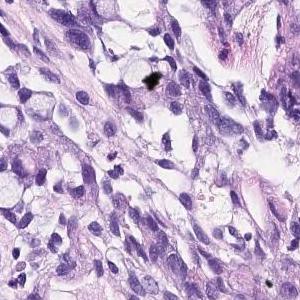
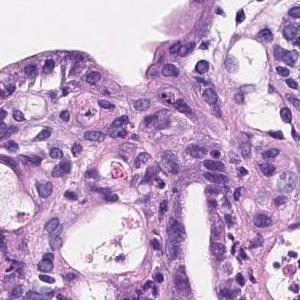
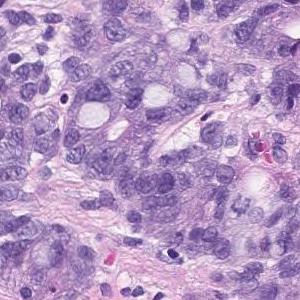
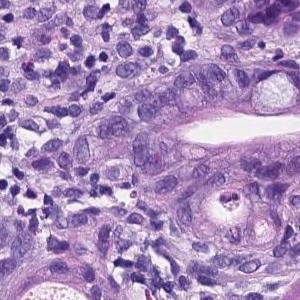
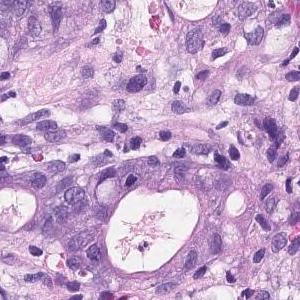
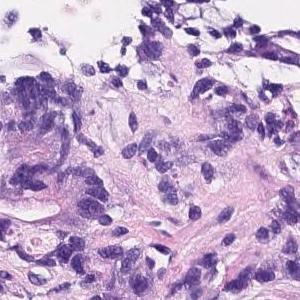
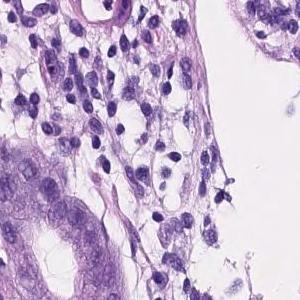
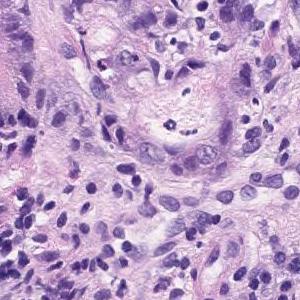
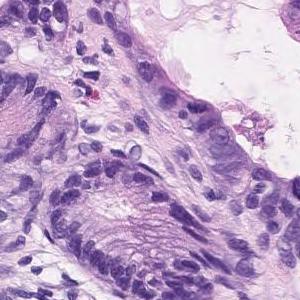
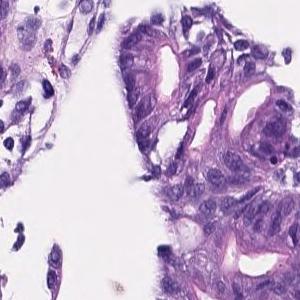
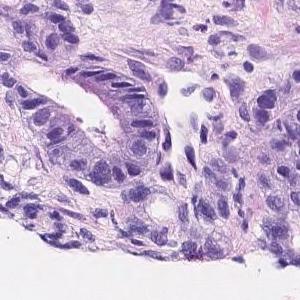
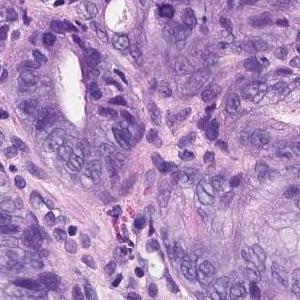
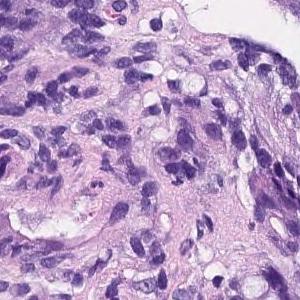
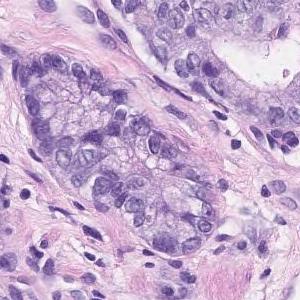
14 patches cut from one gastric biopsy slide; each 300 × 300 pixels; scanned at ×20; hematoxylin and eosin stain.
Pathology report for the biopsy slide these tiles were cut from. Both the report and the diagnosis are for the whole slide: these tiles need not show every feature named, and some of the tissue shown may not be tumor.
Irregularly fused atypical ducts proliferating while replacing existing ducts was observed. moderately differentiated tubular adenocarcinoma
